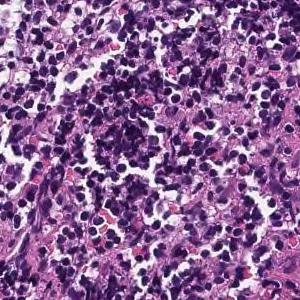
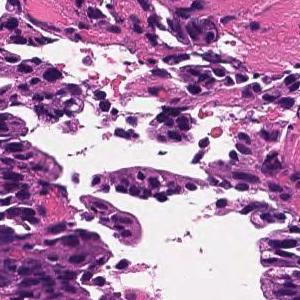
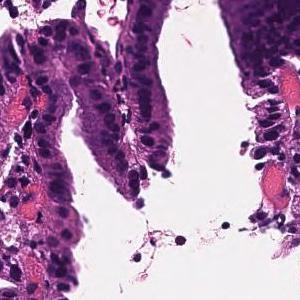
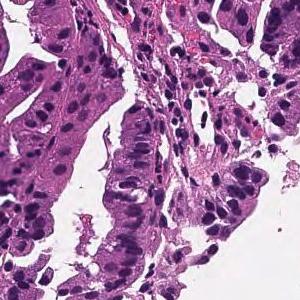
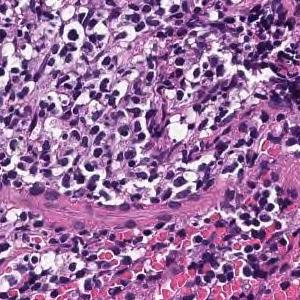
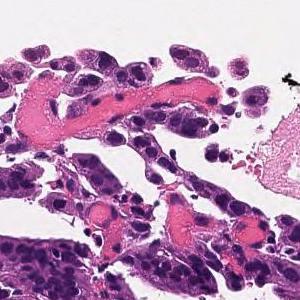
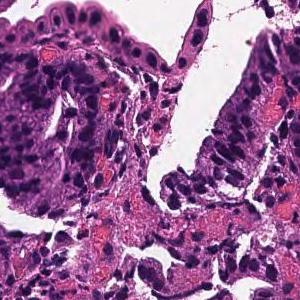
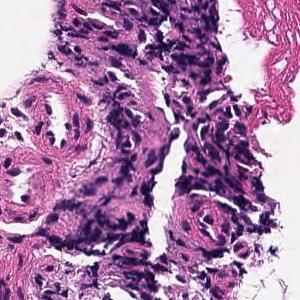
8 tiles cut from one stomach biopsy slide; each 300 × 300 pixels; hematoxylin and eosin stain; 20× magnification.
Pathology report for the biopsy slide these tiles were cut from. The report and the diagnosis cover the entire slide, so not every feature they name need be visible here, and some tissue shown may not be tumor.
Tumor cells are large, highly columnar, large club-shaped nuclei, and are associated with chromatin aggregation. Papillary adenocarcinoma.
